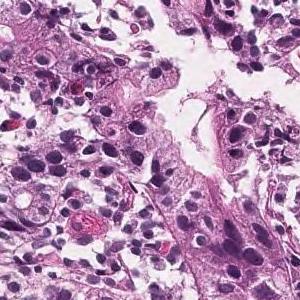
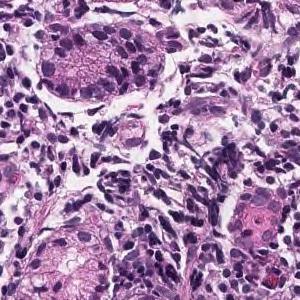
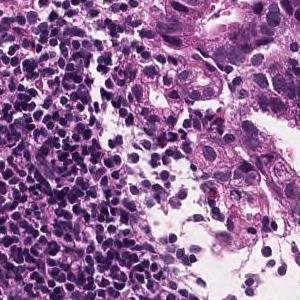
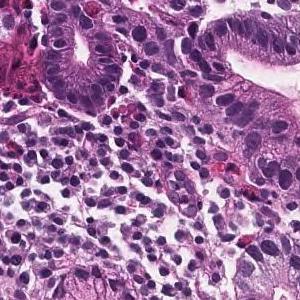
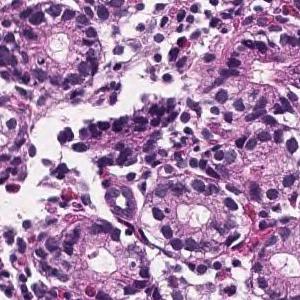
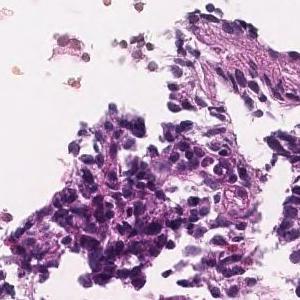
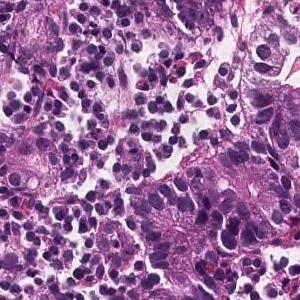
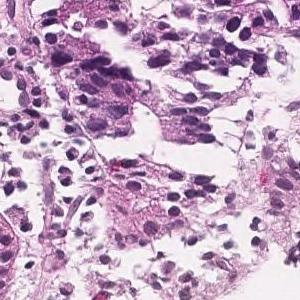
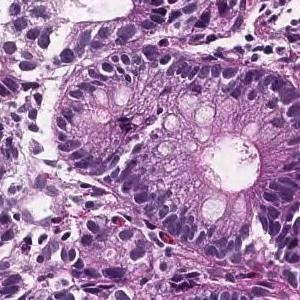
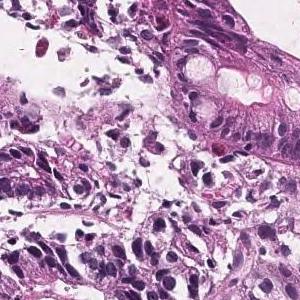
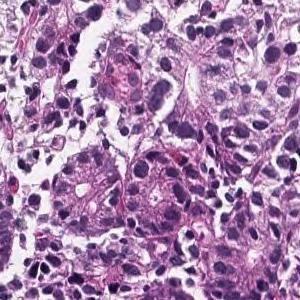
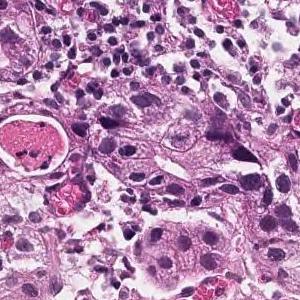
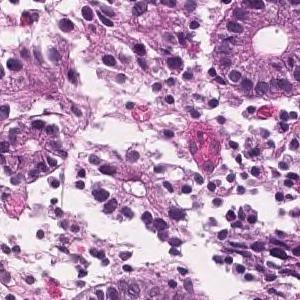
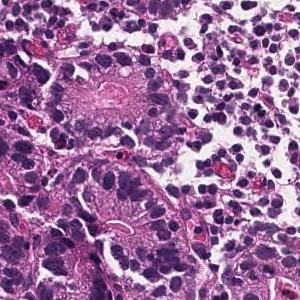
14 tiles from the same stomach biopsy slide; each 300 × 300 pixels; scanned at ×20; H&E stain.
Report on the slide these tiles come from. The report and the diagnosis cover the entire slide, so not every feature they name need be visible here, and some tissue shown may not be tumor.
Tumor tissue that forms medium-sized, irregular glandular ducts and is papillary and proliferate is observed confined to the mucosal epithelium. moderately differentiated tubular adenocarcinoma.
